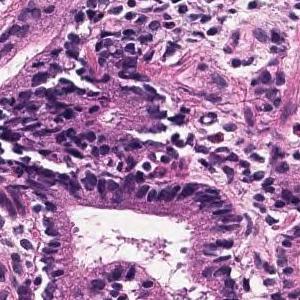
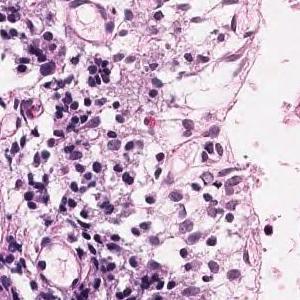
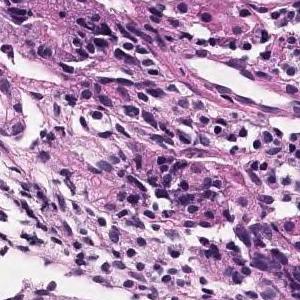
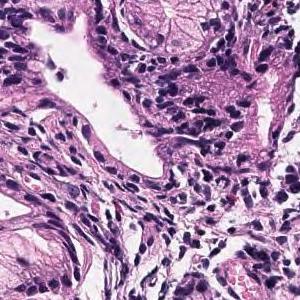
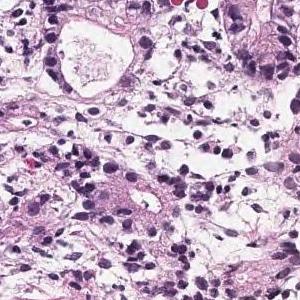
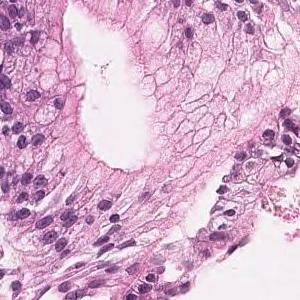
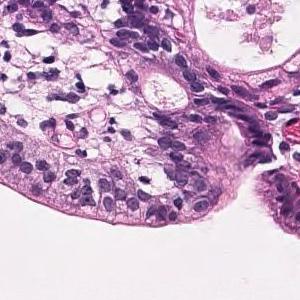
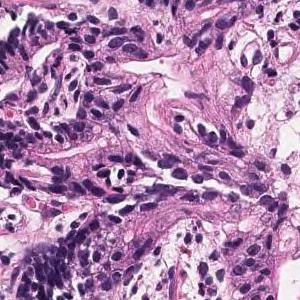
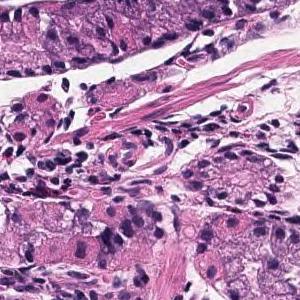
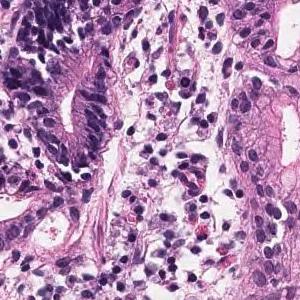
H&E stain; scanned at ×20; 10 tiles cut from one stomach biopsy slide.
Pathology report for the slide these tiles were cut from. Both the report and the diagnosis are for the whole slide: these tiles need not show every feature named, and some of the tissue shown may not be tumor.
Tumor tissue that grows and grows is observed, showing a medium-sized round or irregular duct. moderately differentiated tubular adenocarcinoma
